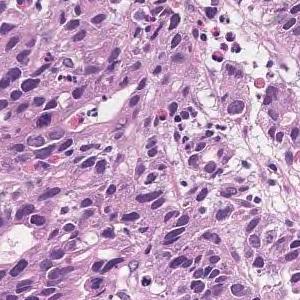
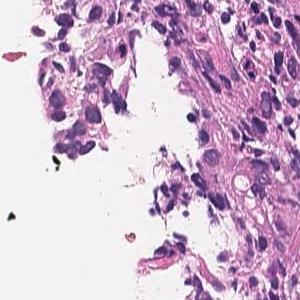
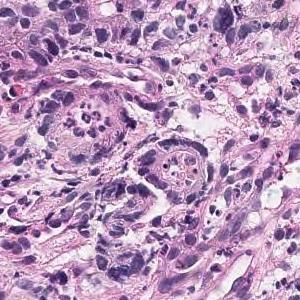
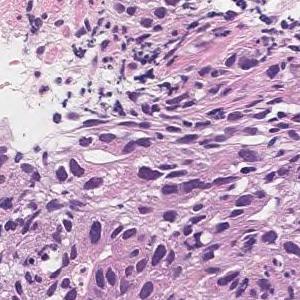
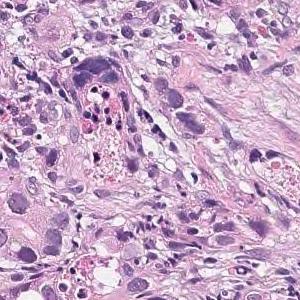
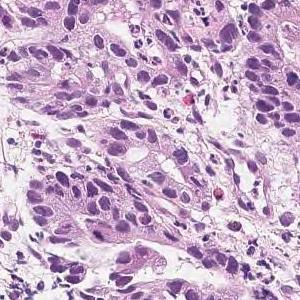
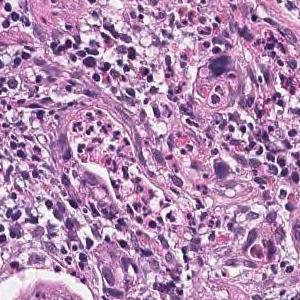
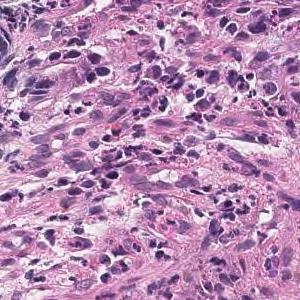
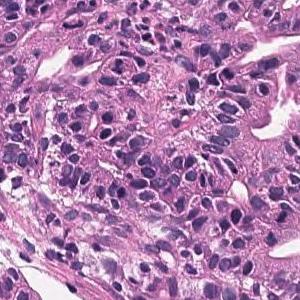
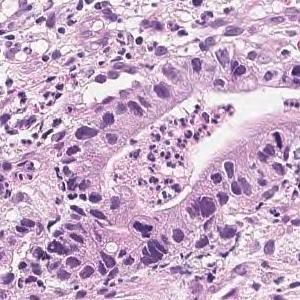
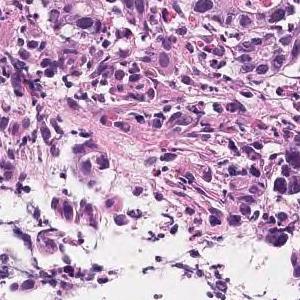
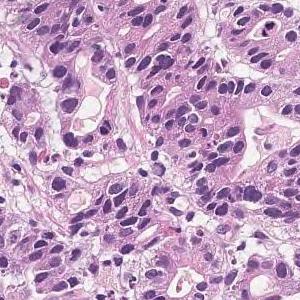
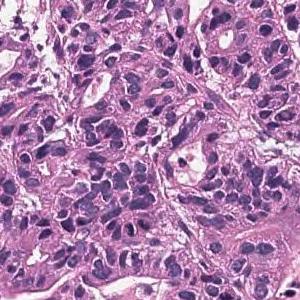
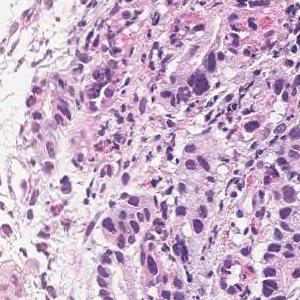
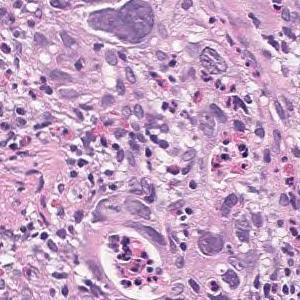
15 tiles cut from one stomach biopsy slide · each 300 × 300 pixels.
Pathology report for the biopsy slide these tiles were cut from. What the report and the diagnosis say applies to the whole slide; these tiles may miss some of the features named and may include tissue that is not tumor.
Tumor tissue that grows by forming glandular cavities from the superficial layer to the submucosa is observed. Well differentiated tubular adenocarcinoma
